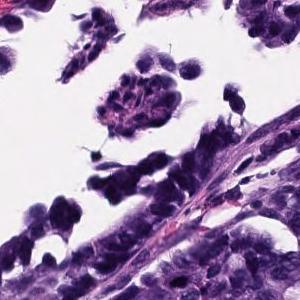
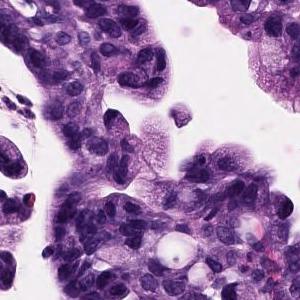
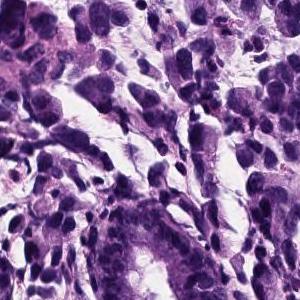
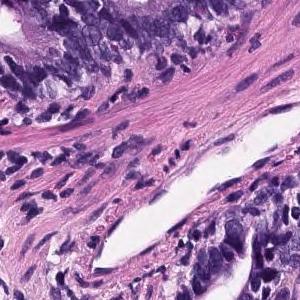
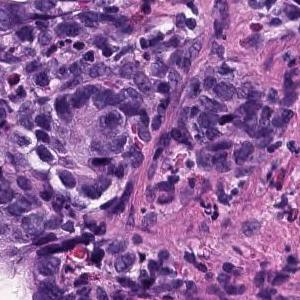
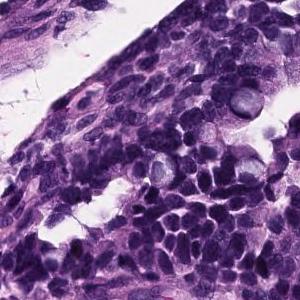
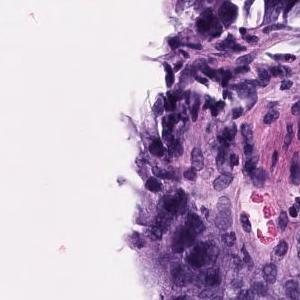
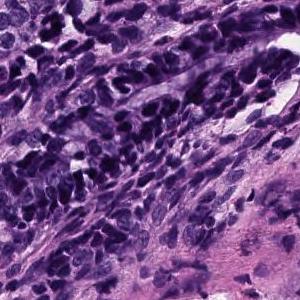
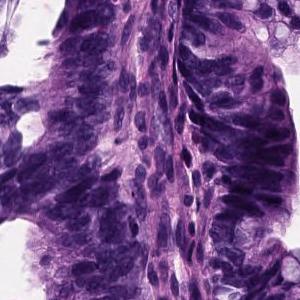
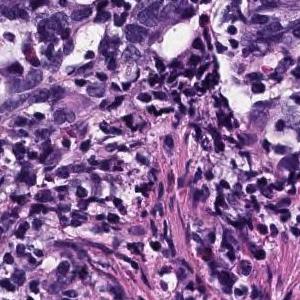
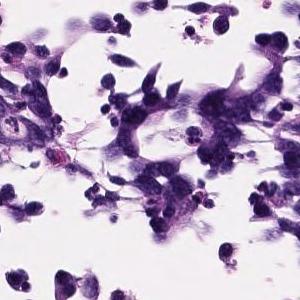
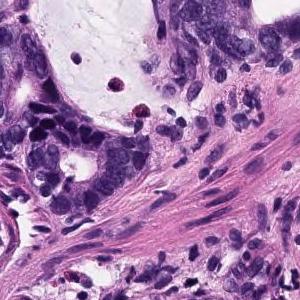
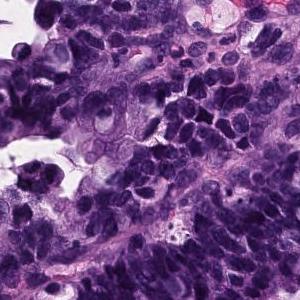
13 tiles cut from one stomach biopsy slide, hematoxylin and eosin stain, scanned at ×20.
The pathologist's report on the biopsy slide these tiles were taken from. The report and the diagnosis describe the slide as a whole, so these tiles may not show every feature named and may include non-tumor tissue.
Atypical epithelium proliferating showing villus construction and irregular gland duct construction is observed. Moderately differentiated tubular adenocarcinoma.
